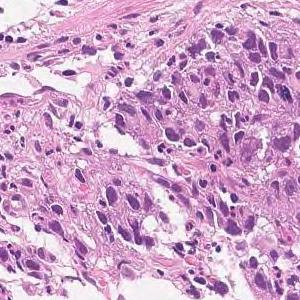
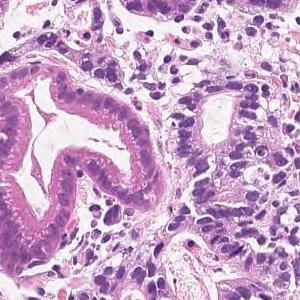
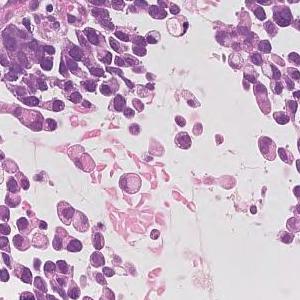
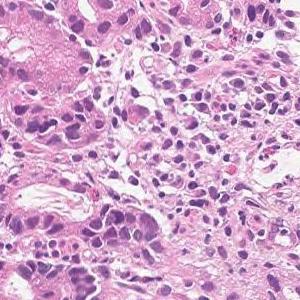
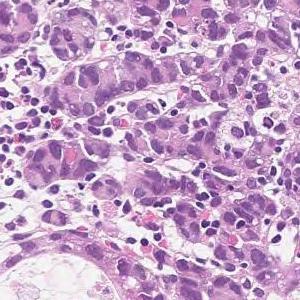
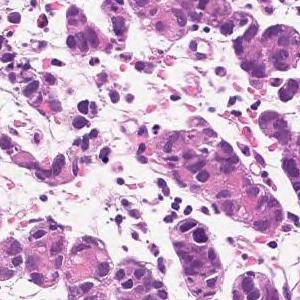
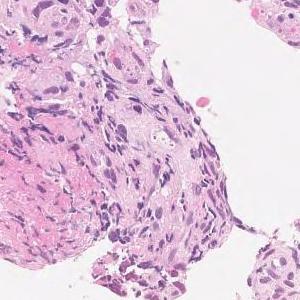
7 patches cut from one gastric biopsy slide, hematoxylin and eosin stain, 20× magnification.
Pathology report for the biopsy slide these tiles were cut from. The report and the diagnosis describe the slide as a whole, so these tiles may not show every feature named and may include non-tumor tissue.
Medium to small, irregular glandular ducts are formed in the superficial epithelium, and in some cases, the glandular ducts are fused to show solid alveolar lesions and infiltrating tumor tissue is observed. Moderately to poorly differentiated adenocarcinoma.
